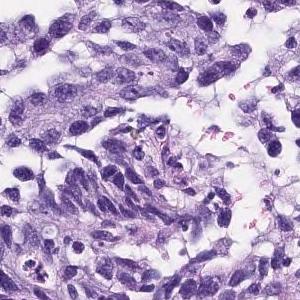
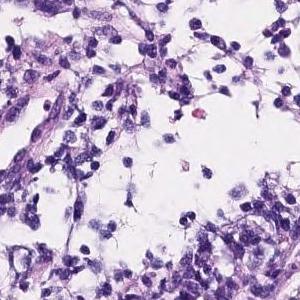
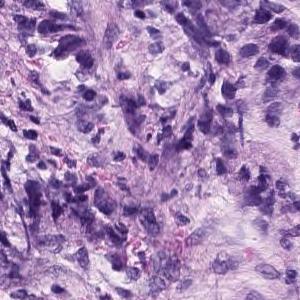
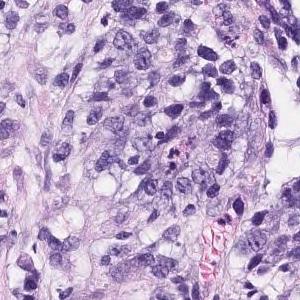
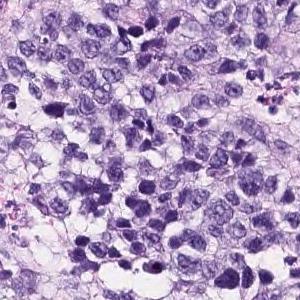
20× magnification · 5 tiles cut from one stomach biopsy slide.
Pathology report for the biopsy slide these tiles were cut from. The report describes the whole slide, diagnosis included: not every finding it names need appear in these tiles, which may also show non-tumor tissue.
The superficial epithelium shows a large sheet-like shape, and some tumor tissue infiltrates with small irregular ducts. Poorly differentiated adenocarcinoma, solid-type
Histologic type: Poorly differentiated adenocarcinoma, solid type. This name comes from the Japanese Classification of Gastric Carcinoma; the WHO 2019 classification calls it tubular adenocarcinoma, poorly differentiated.
